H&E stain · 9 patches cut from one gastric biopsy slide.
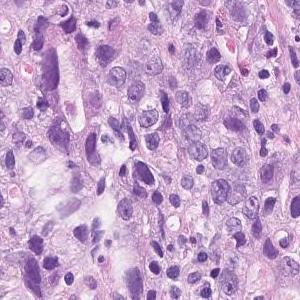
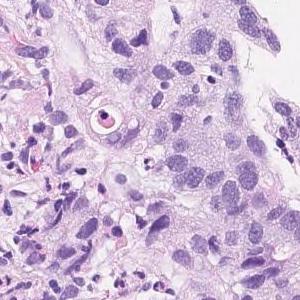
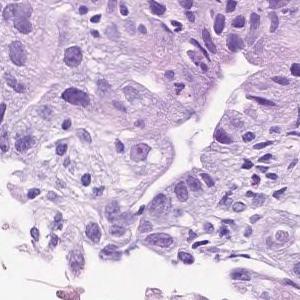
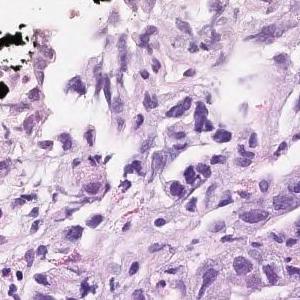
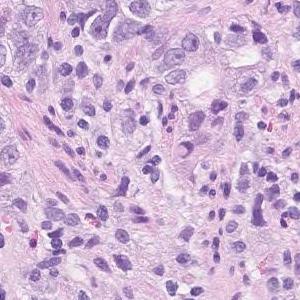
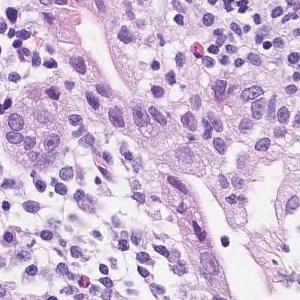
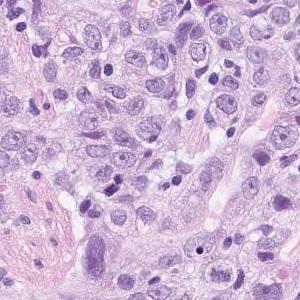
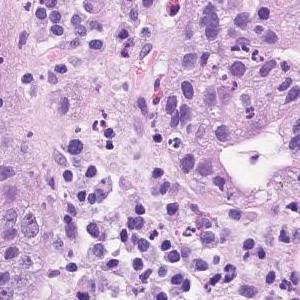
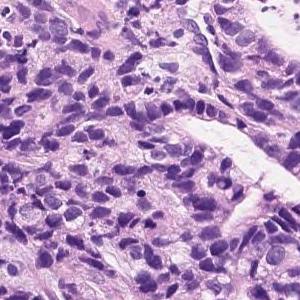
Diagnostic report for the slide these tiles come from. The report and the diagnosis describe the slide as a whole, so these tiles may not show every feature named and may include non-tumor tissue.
In the superficial epithelium, tumor tissue that invades by forming medium-sized to small, irregular ducts is observed. Moderately to poorly differentiated adenocarcinoma
